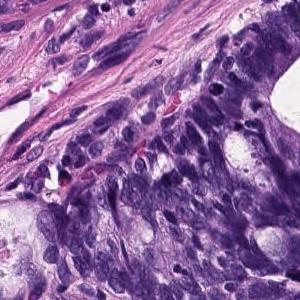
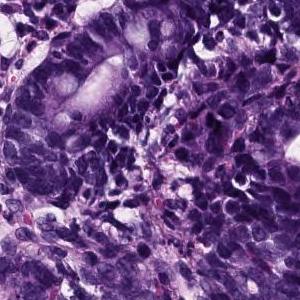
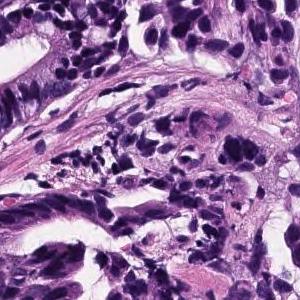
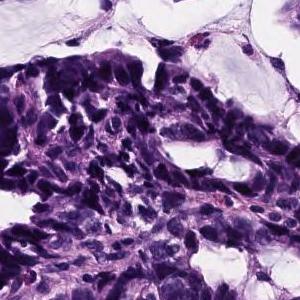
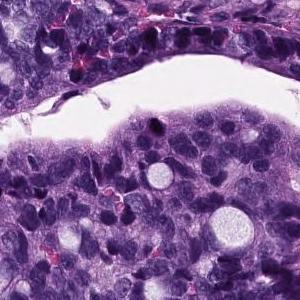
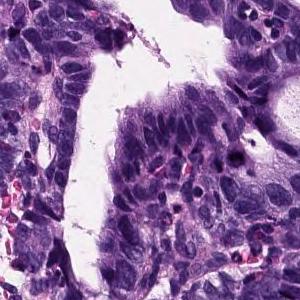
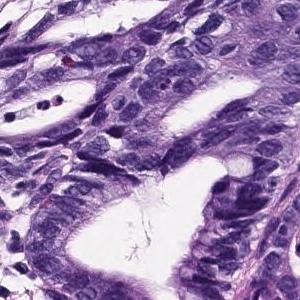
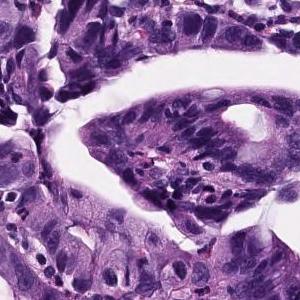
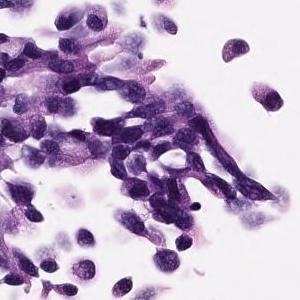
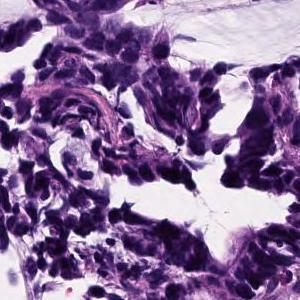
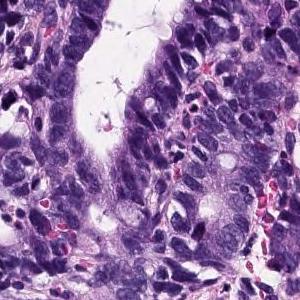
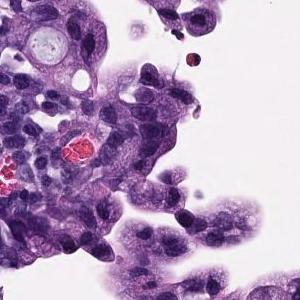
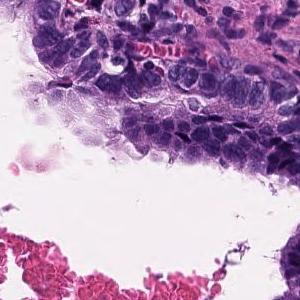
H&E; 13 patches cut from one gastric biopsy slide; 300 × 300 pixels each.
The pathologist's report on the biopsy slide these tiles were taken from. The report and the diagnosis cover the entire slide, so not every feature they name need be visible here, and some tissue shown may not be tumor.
Atypical epithelium proliferating showing villus construction and irregular gland duct construction is observed. Moderately differentiated tubular adenocarcinoma.
